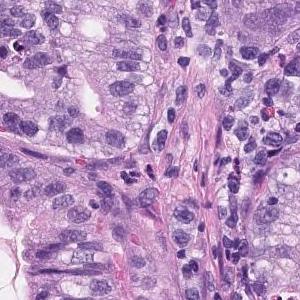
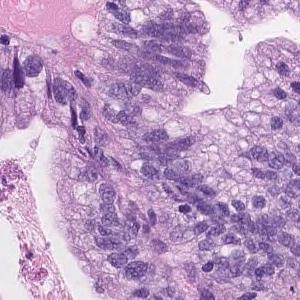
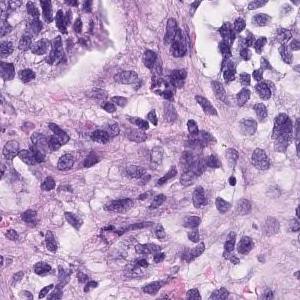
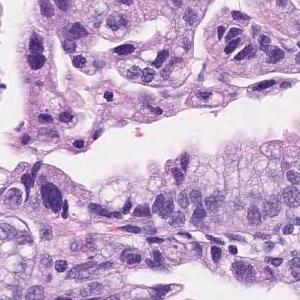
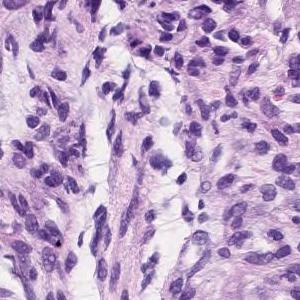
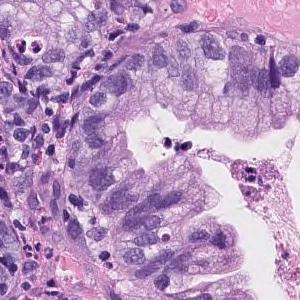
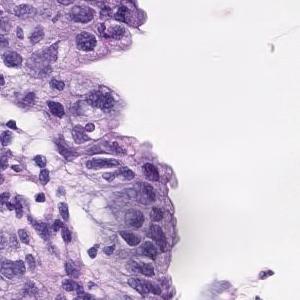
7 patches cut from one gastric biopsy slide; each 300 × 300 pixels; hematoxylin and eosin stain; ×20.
Diagnostic report for the slide these tiles come from. The report describes the whole slide, diagnosis included: not every finding it names need appear in these tiles, which may also show non-tumor tissue.
Tumor cells are large, highly columnar, large club-shaped nuclei, and are associated with chromatin aggregation. Papillary adenocarcinoma.
